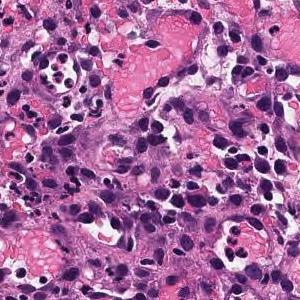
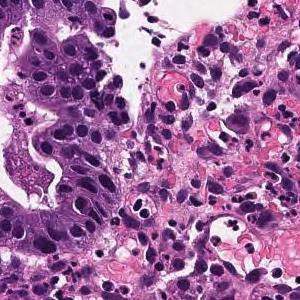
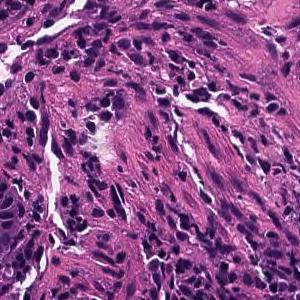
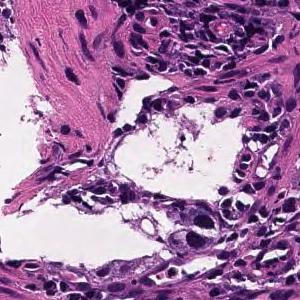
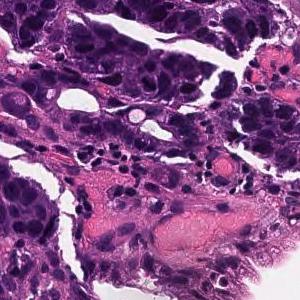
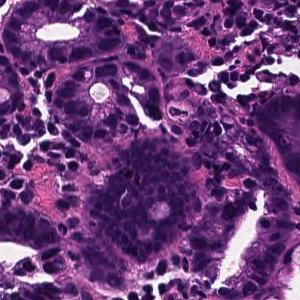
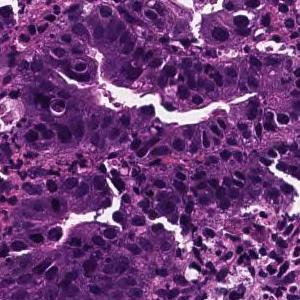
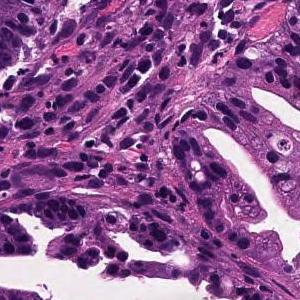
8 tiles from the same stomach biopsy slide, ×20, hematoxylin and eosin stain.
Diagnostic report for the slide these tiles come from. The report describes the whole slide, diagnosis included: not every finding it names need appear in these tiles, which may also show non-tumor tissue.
From the superficial epithelium to the muscularis mucosae, tumor tissue consisting of medium-sized and irregular glandular ducts infiltrating is observed. Well differentiated tubular adenocarcinoma
